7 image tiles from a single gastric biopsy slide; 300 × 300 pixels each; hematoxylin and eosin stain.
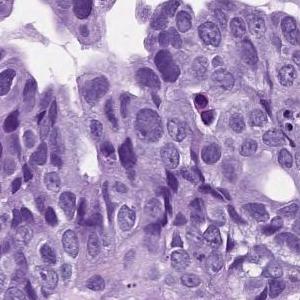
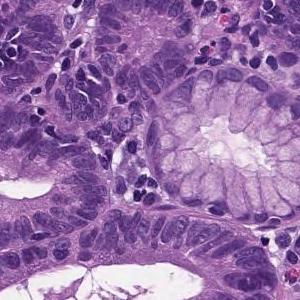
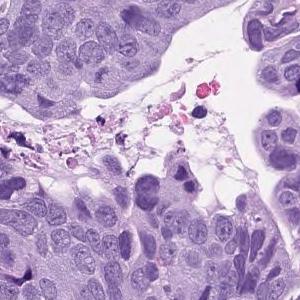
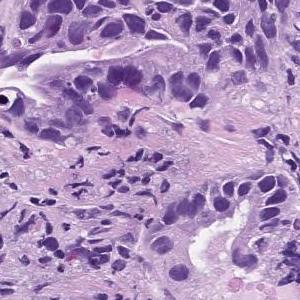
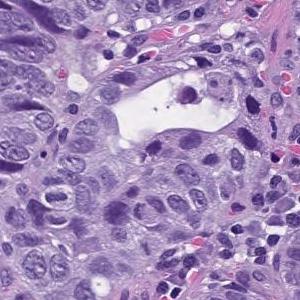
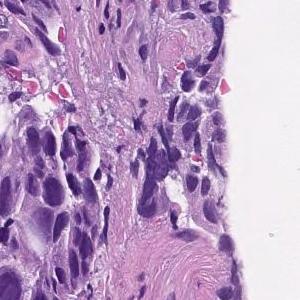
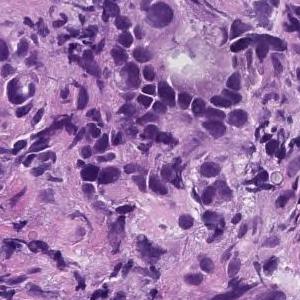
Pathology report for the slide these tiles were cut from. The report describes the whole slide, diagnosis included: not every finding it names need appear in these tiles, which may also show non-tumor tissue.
In the superficial epithelium, tumor tissue that invades by forming medium-sized to small, irregular ducts is observed. moderately differentiated tubular adenocarcinoma.
